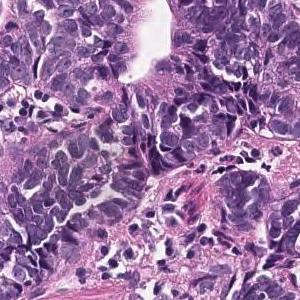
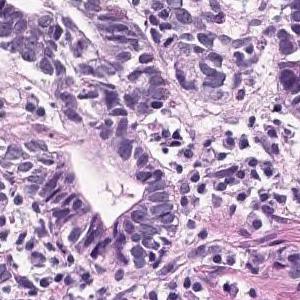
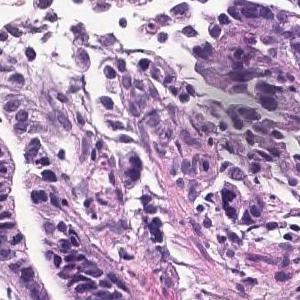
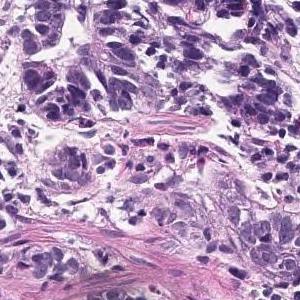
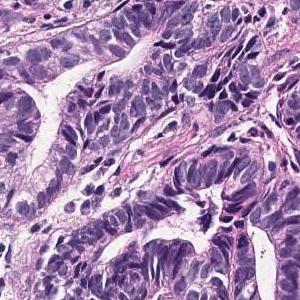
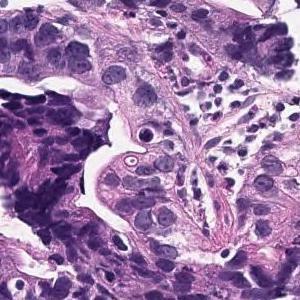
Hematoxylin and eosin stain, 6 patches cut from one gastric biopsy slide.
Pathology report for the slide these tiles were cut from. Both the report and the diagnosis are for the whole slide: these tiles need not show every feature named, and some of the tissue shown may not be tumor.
In the superficial epithelium, tumor tissue that invades by forming medium-sized to small, irregular ducts is observed. Well differentiated tubular adenocarcinoma.
